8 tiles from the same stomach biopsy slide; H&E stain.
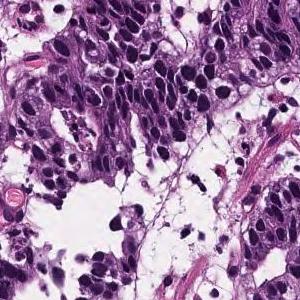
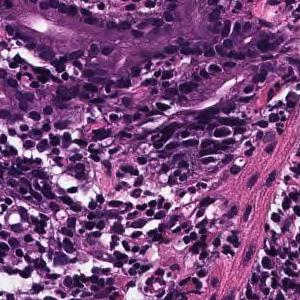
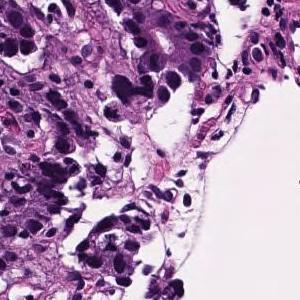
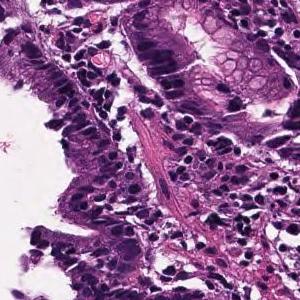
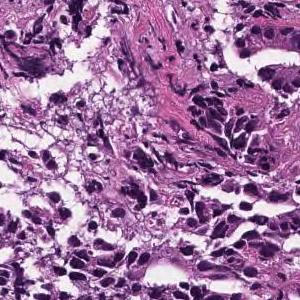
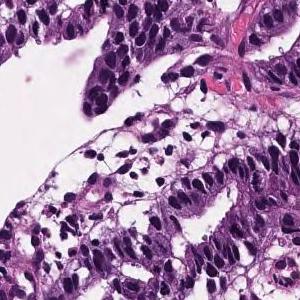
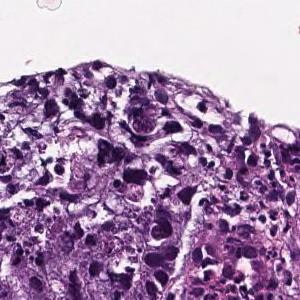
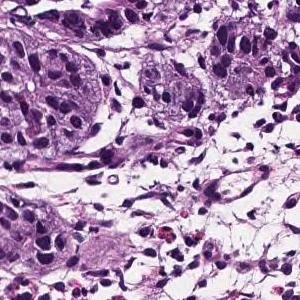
Pathology report for the biopsy slide these tiles were cut from. The report and the diagnosis describe the slide as a whole, so these tiles may not show every feature named and may include non-tumor tissue.
Atypical l cells with atypical nuclei forming diffuse or small irregular atypical ducts and growing. Moderately to poorly differentiated adenocarcinoma (poorly differentiated adenocarcinoma, solid type moderately differentiated tubular adenocarcinoma)
Tumor subtype: moderately to poorly differentiated adenocarcinoma.
The solid type named here is a Japanese Classification of Gastric Carcinoma category; WHO 2019 calls it tubular adenocarcinoma, poorly differentiated.
